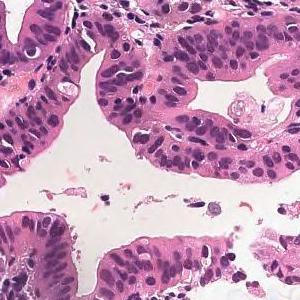
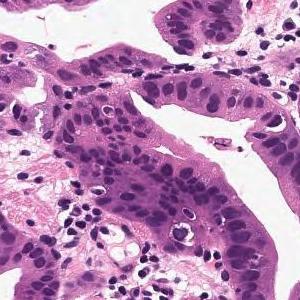
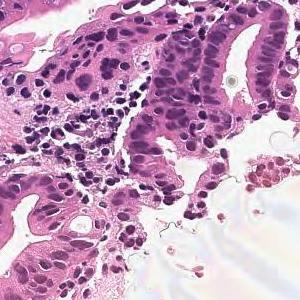
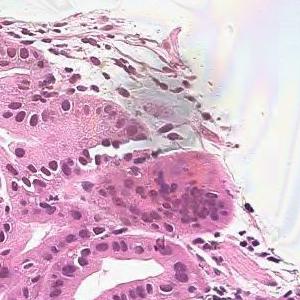
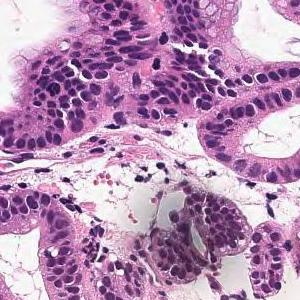
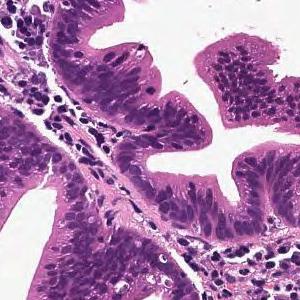
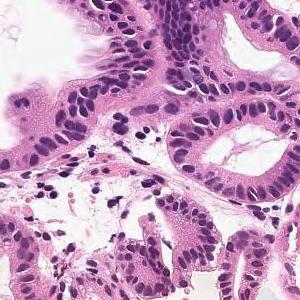
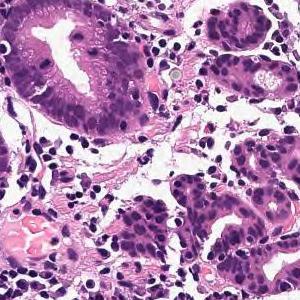
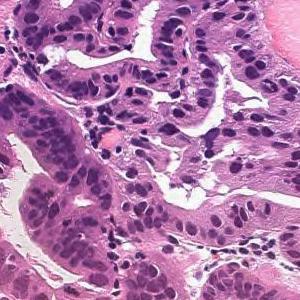
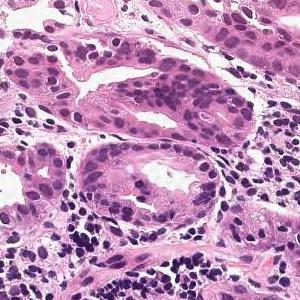
Hematoxylin and eosin stain; 10 patches cut from one gastric biopsy slide.
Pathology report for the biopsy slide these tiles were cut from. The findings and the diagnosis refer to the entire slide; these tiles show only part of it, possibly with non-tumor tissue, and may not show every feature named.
Cells with elliptical or atypical nuclei form dense ducts with relatively clear growth. Well differentiated tubular adenocarcinoma
